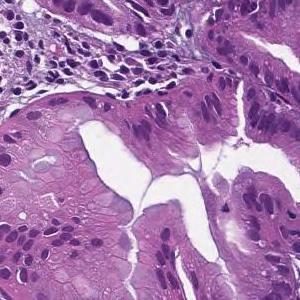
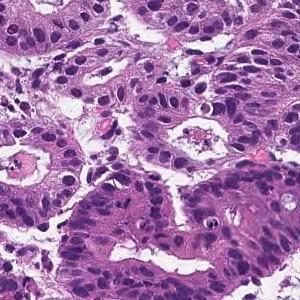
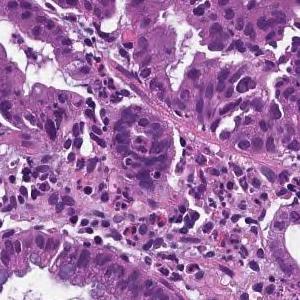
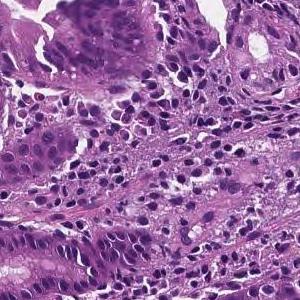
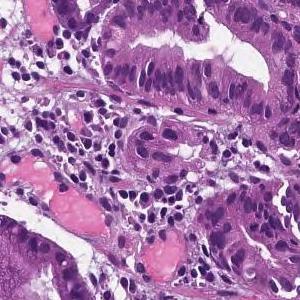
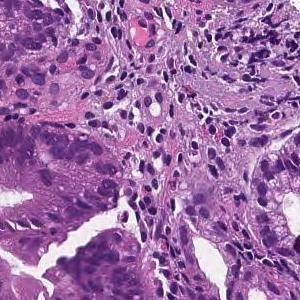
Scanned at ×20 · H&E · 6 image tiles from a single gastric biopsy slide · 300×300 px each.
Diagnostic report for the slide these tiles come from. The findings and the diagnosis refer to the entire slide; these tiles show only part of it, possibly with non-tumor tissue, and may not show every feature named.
From the superficial epithelium to the muscularis mucosae, tumor tissue consisting of medium-sized and irregular glandular ducts infiltrating is observed. Well differentiated tubular adenocarcinoma
